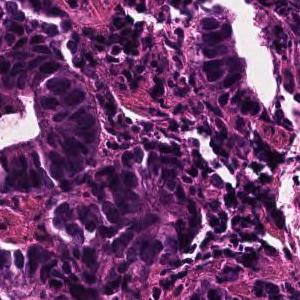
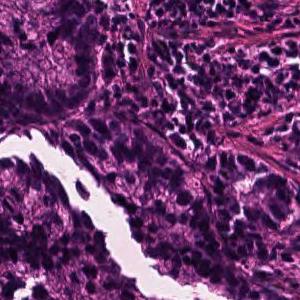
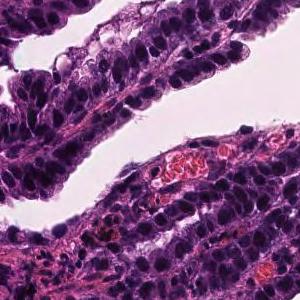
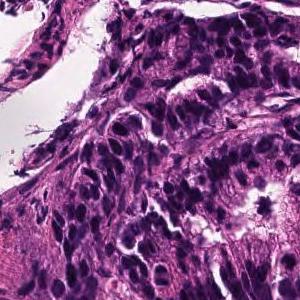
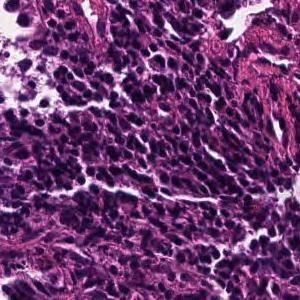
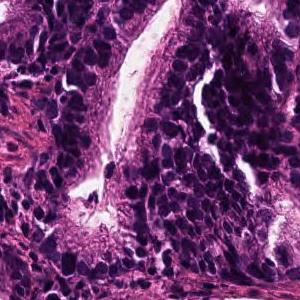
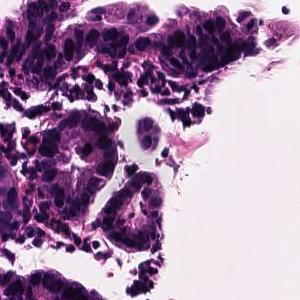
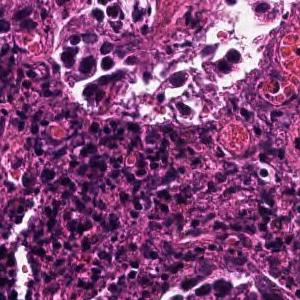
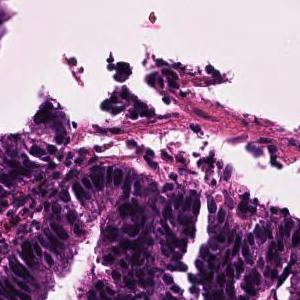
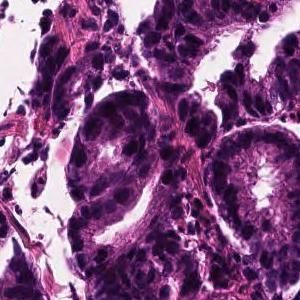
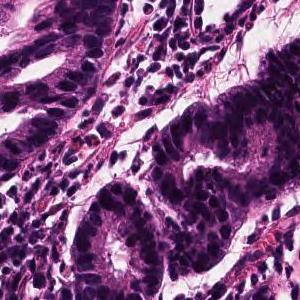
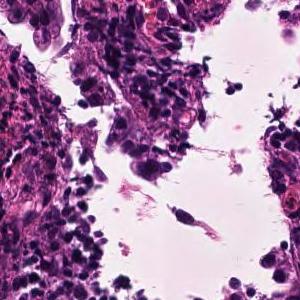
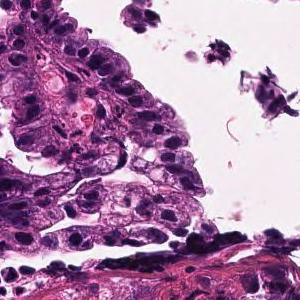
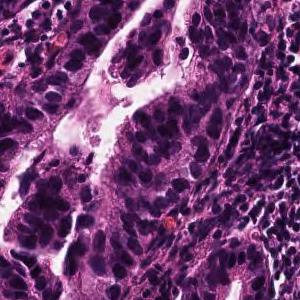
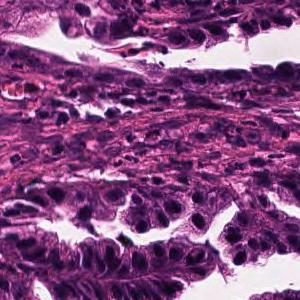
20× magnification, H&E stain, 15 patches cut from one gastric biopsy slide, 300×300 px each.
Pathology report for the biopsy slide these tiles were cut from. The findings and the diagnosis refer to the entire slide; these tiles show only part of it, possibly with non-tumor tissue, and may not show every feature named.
Tumor tissue consisting of large papillary structures is found in the superficial epithelium. Papillary adenocarcinoma.
